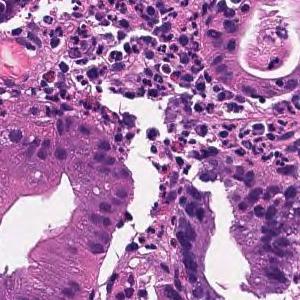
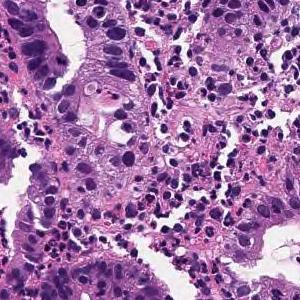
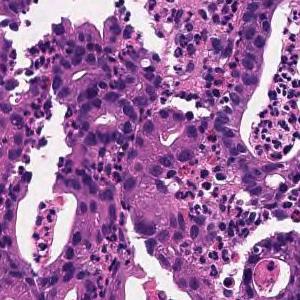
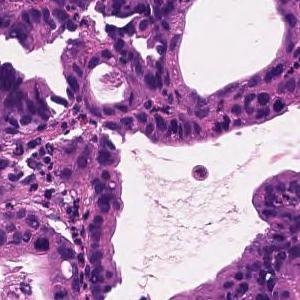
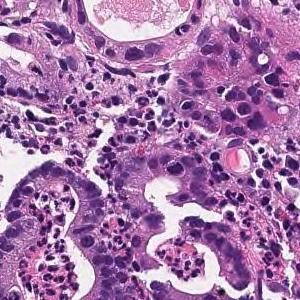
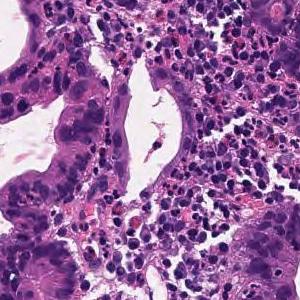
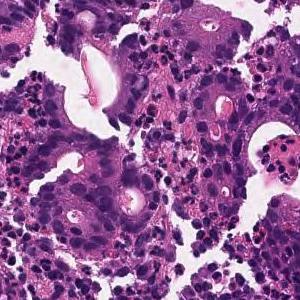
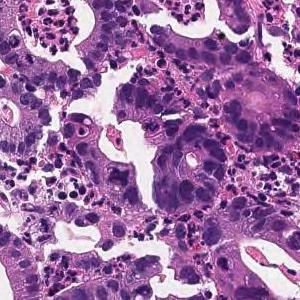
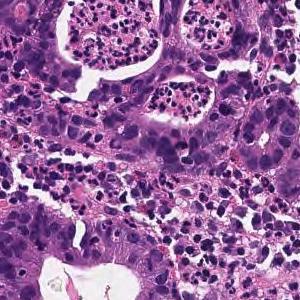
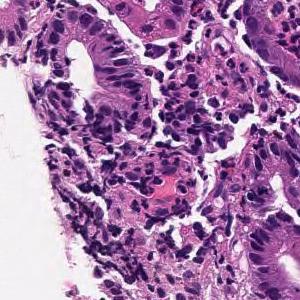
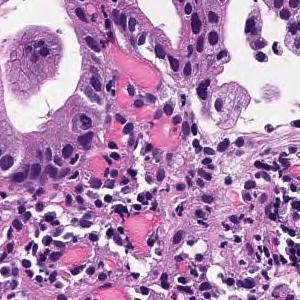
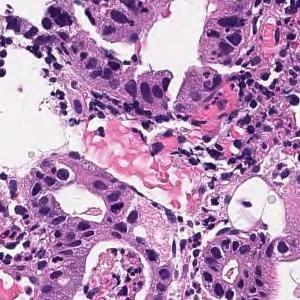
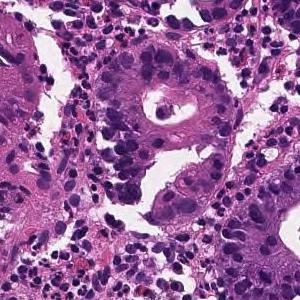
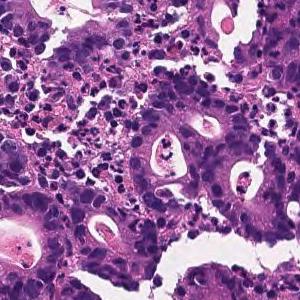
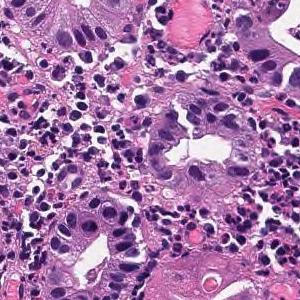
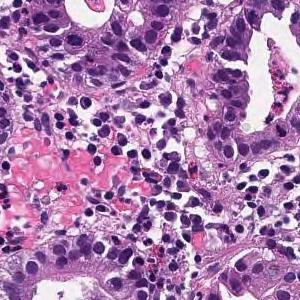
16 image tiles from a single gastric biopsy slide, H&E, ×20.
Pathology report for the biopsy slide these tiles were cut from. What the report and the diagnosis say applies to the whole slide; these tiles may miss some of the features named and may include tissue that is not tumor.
In the superficial epithelium, tumor tissue that invades by forming medium-sized to small, irregular ducts is observed. moderately differentiated tubular adenocarcinoma.
